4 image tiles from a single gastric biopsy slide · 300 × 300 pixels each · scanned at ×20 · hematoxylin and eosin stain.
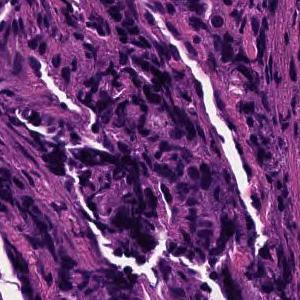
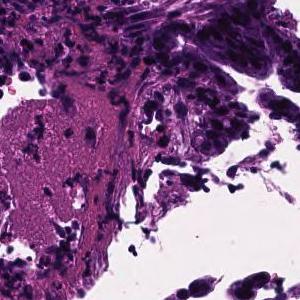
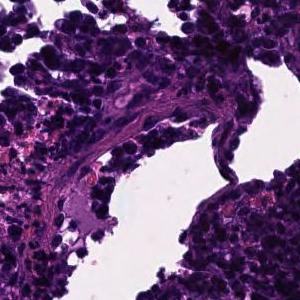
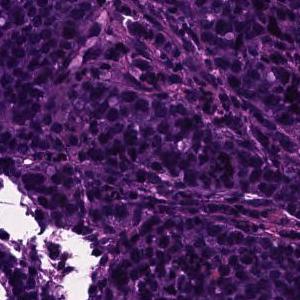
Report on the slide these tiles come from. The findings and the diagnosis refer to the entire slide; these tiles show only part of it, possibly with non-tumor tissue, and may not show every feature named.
In the superficial epithelium, tumor tissue that invades by forming medium-sized to small, irregular ducts is observed. moderately differentiated tubular adenocarcinoma.
